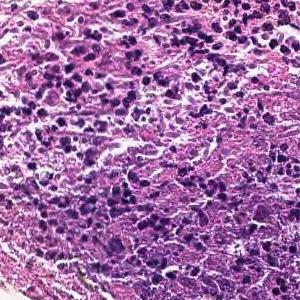
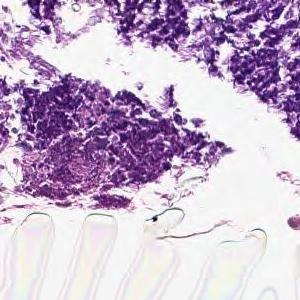
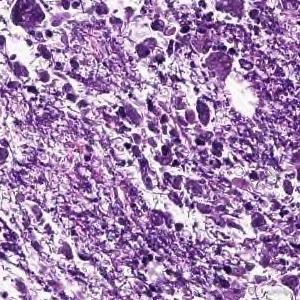
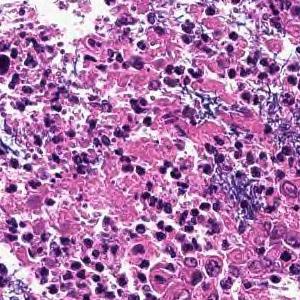
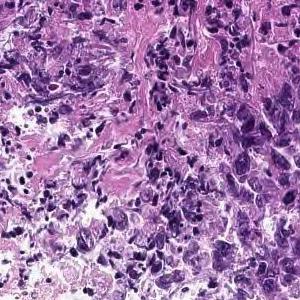
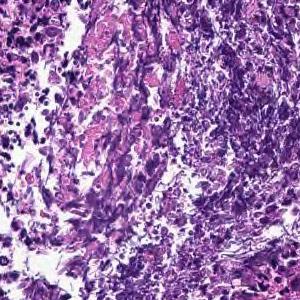
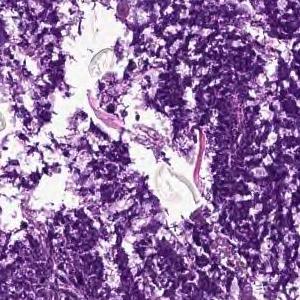
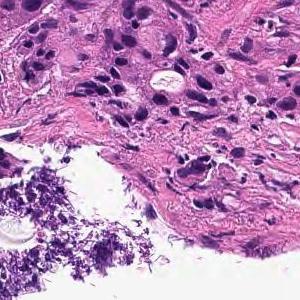
20× magnification · 8 tiles from the same stomach biopsy slide · each 300 × 300 pixels.
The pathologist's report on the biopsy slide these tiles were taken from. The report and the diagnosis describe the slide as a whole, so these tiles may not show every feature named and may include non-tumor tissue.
Cancers with polygonal nuclei do not show glandular formation and are densely, in part, cord-like and proliferate. Poorly differentiated adenocarcinoma
Tumor subtype: poorly differentiated adenocarcinoma, non-solid type.
"Non-solid type" is a category of the Japanese Classification of Gastric Carcinoma.
